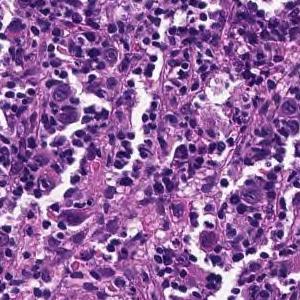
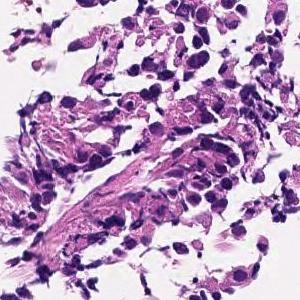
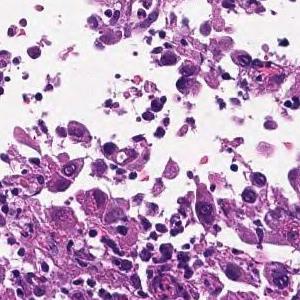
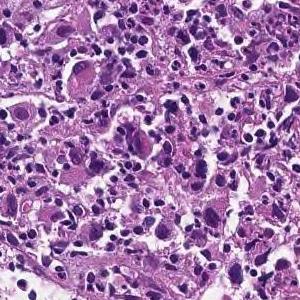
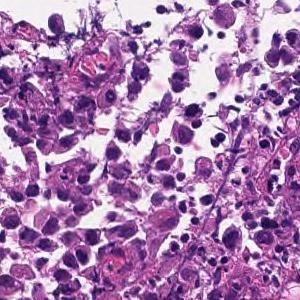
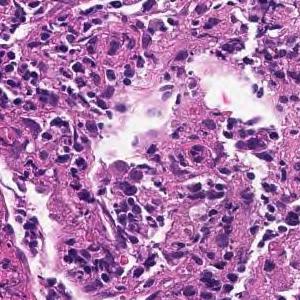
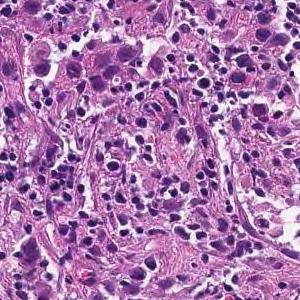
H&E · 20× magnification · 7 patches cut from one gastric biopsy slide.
Pathology report for the biopsy slide these tiles were cut from. The report describes the whole slide, diagnosis included: not every finding it names need appear in these tiles, which may also show non-tumor tissue.
The superficial epithelium shows a large sheet-like shape, and some tumor tissue infiltrates with small irregular ducts. Poorly differentiated adenocarcinoma, solid-type (poorly differentiated adenocarcinoma, solid type)
Histological subtype: Poorly differentiated adenocarcinoma, solid type. This name comes from the Japanese Classification of Gastric Carcinoma; the WHO 2019 classification calls it tubular adenocarcinoma, poorly differentiated.
